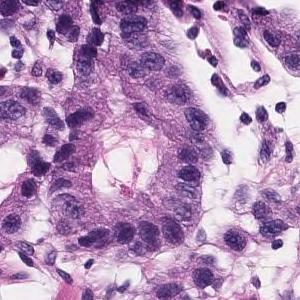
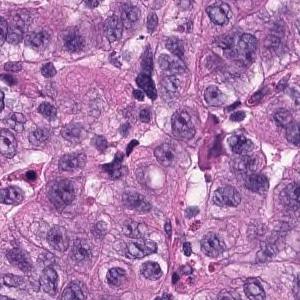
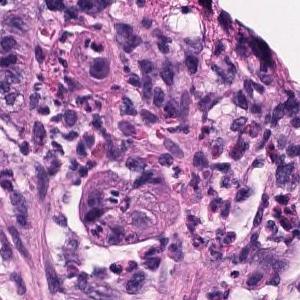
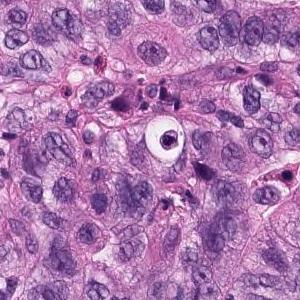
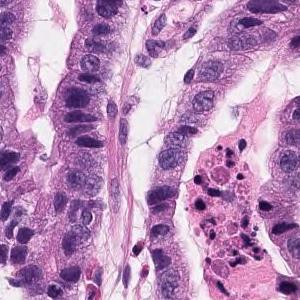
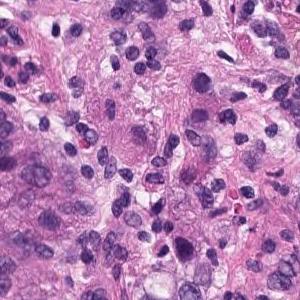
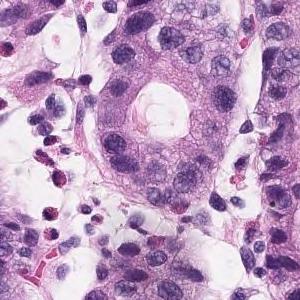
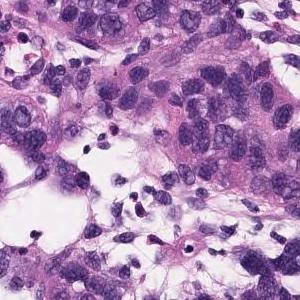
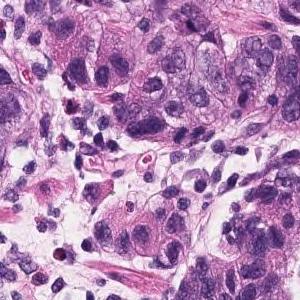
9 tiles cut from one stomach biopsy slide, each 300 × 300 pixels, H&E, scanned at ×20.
Pathology report for the biopsy slide these tiles were cut from. The report describes the whole slide, diagnosis included: not every finding it names need appear in these tiles, which may also show non-tumor tissue.
Atypical l cells with atypical nuclei forming diffuse or small irregular atypical ducts and growing. Moderately to poorly differentiated adenocarcinoma (poorly differentiated adenocarcinoma, solid type, moderately differentiated tubular adenocarcinoma)
Classified as moderately to poorly differentiated adenocarcinoma.
The solid type named here is a Japanese Classification of Gastric Carcinoma category; WHO 2019 calls it tubular adenocarcinoma, poorly differentiated.
